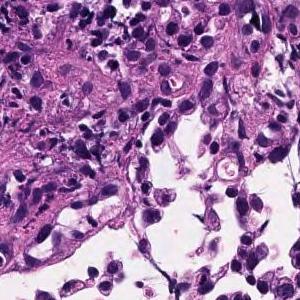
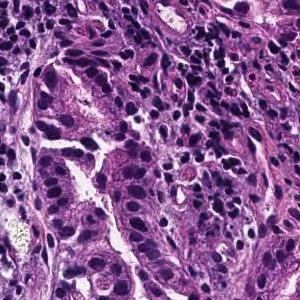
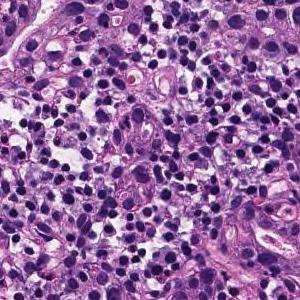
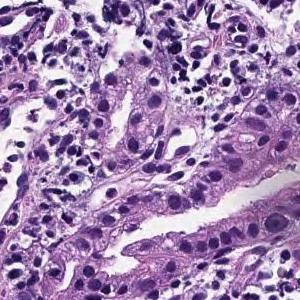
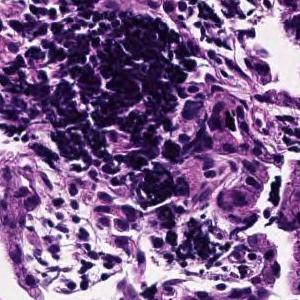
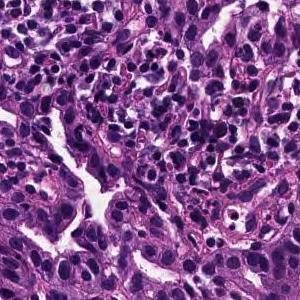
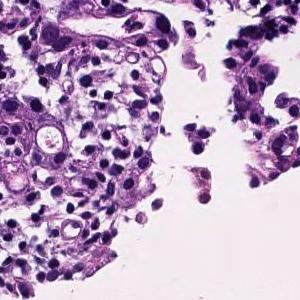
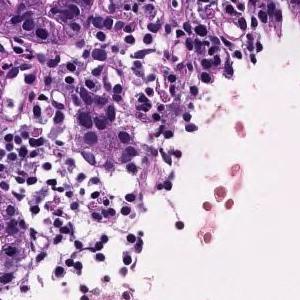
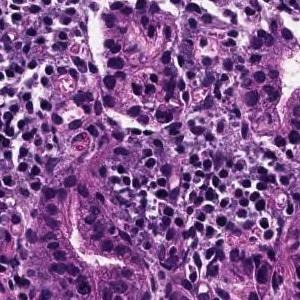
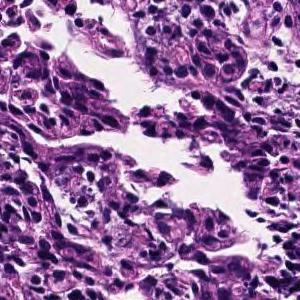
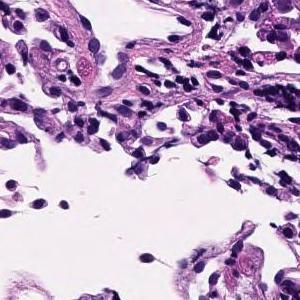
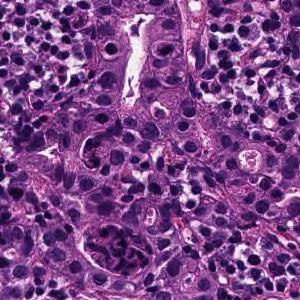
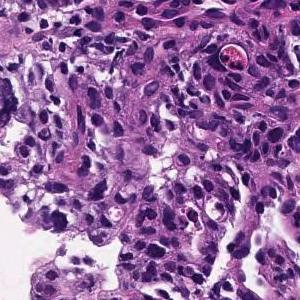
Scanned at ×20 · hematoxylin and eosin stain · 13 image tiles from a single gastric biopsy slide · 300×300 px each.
Diagnostic report for the slide these tiles come from. The findings and the diagnosis refer to the entire slide; these tiles show only part of it, possibly with non-tumor tissue, and may not show every feature named.
Medium to small, irregular glandular ducts are formed in the superficial epithelium, and in some cases, the glandular ducts are fused to show solid alveolar lesions and infiltrating tumor tissue is observed. Moderately to poorly differentiated adenocarcinoma.
